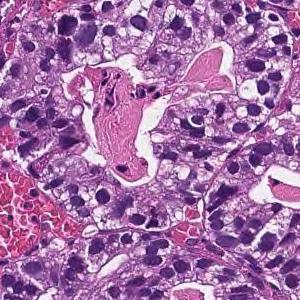
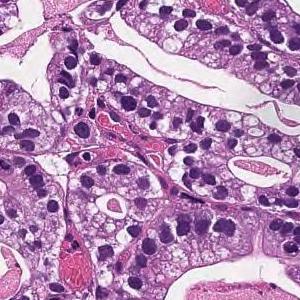
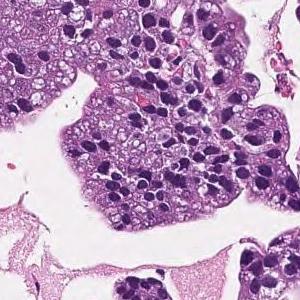
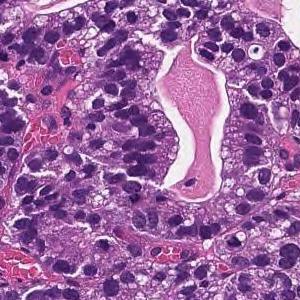
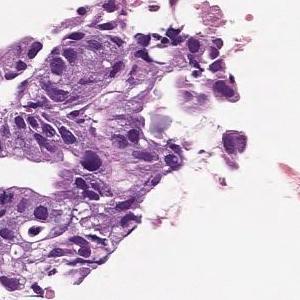
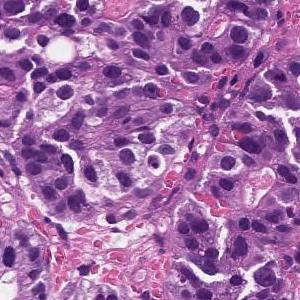
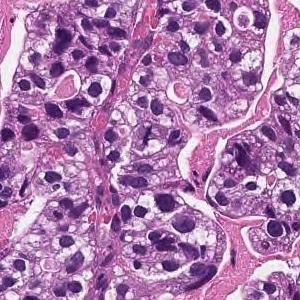
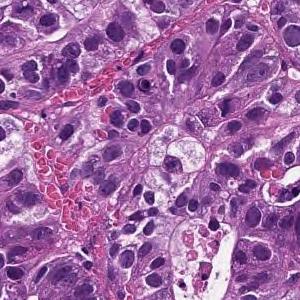
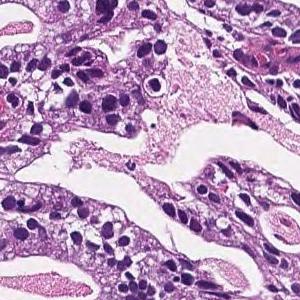
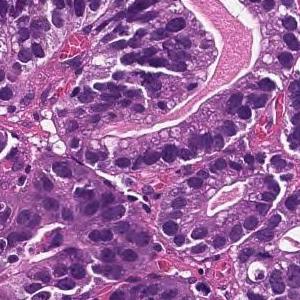
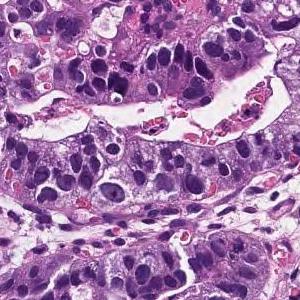
11 tiles from the same stomach biopsy slide · 300×300 px each · hematoxylin and eosin stain.
Report on the slide these tiles come from. The report describes the whole slide, diagnosis included: not every finding it names need appear in these tiles, which may also show non-tumor tissue.
On the superficial epithelium, tumor tissue consisting of large, irregular glandular ducts partially fused and infiltrated is observed. Well to moderately differentiated tubular adenocarcinoma (well differentiated tubular adenocarcinoma, moderately differentiated tubular adenocarcinoma)
Tumor subtype: well to moderately differentiated tubular adenocarcinoma.
